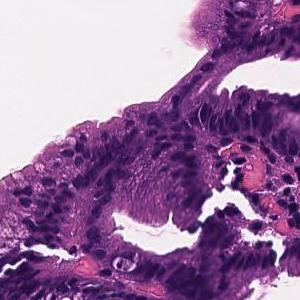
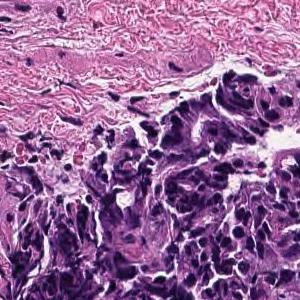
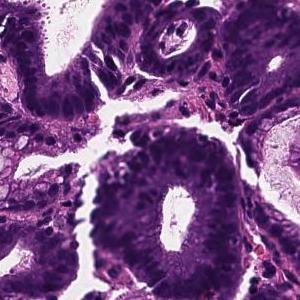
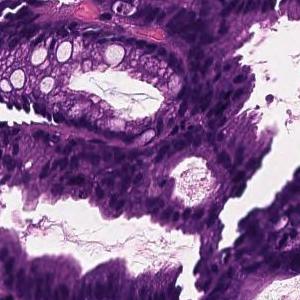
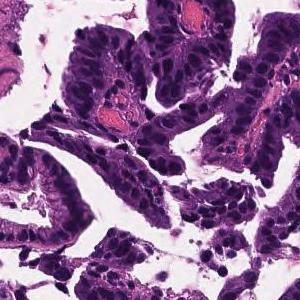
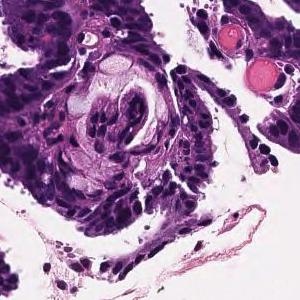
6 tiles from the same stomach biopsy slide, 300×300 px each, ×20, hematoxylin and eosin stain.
The pathologist's report on the biopsy slide these tiles were taken from. The report and the diagnosis describe the slide as a whole, so these tiles may not show every feature named and may include non-tumor tissue.
In the superficial epithelium, tumor tissue that invades by forming medium-sized to small, irregular ducts is observed. moderately differentiated tubular adenocarcinoma.
